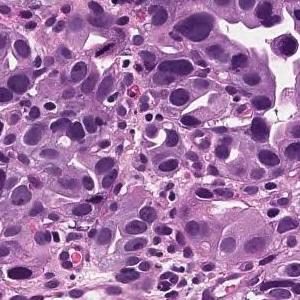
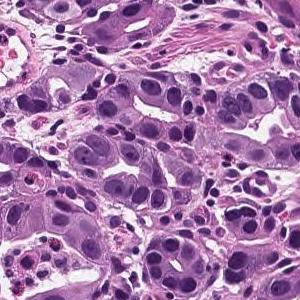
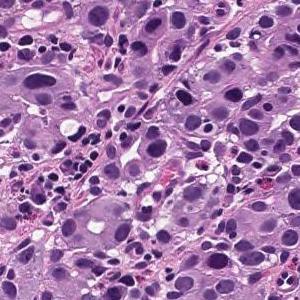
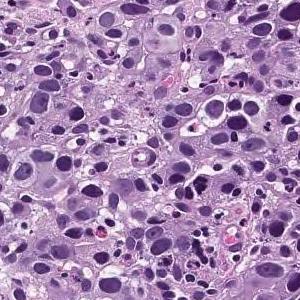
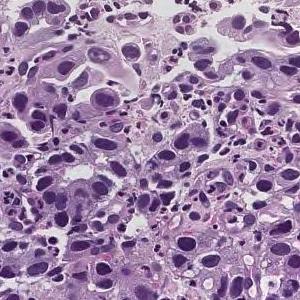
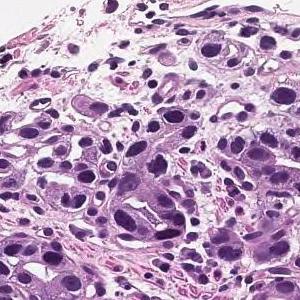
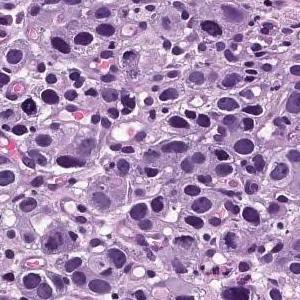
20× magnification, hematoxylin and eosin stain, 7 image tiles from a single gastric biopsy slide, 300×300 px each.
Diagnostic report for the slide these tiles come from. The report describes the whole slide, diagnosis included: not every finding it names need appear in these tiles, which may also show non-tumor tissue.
The superficial epithelium shows a large sheet or alveolar shape, and tumor tissue infiltrating without irregular ducts is observed. Poorly differentiated adenocarcinoma, solid-type
Classified as poorly differentiated adenocarcinoma, solid type, a category of the Japanese Classification of Gastric Carcinoma; in the WHO 2019 classification it is tubular adenocarcinoma, poorly differentiated.
